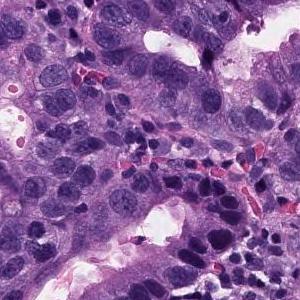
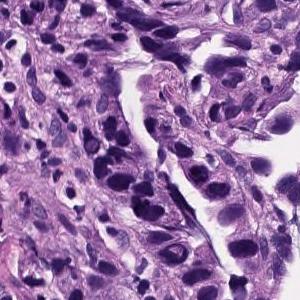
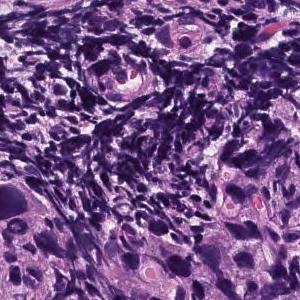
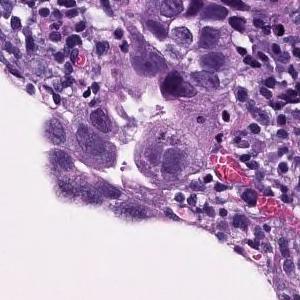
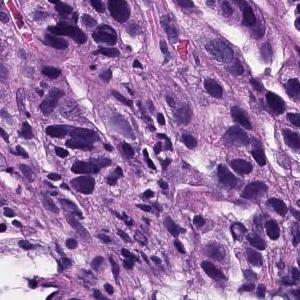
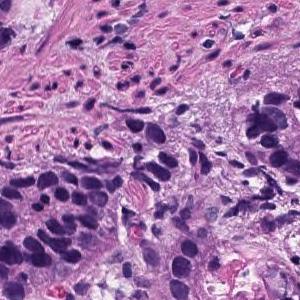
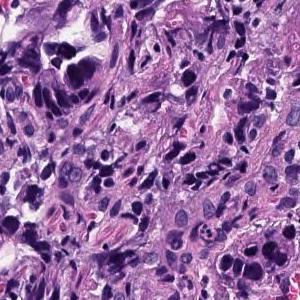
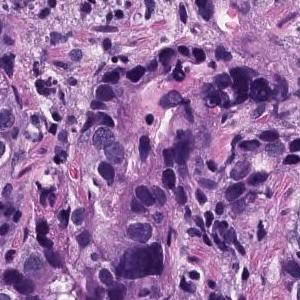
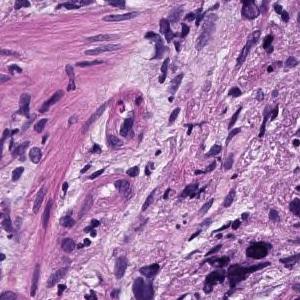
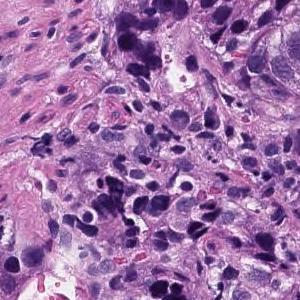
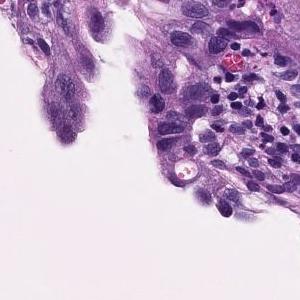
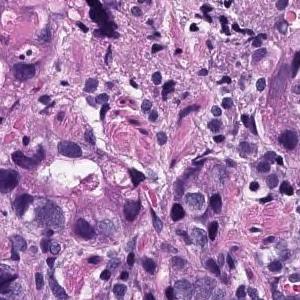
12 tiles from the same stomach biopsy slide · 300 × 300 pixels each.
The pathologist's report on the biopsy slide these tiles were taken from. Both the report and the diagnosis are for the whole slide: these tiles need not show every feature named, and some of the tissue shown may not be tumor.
In the epithelium, tumor tissue in which medium to small irregular gland ducts fuse with each other and infiltrate the submucosa. moderately differentiated tubular adenocarcinoma
